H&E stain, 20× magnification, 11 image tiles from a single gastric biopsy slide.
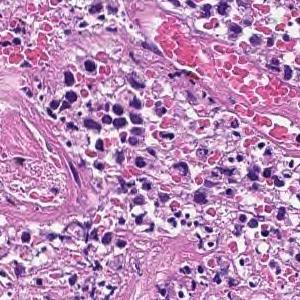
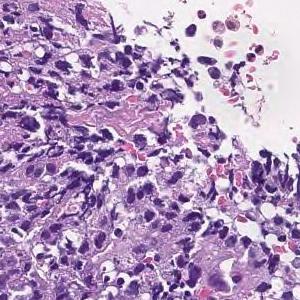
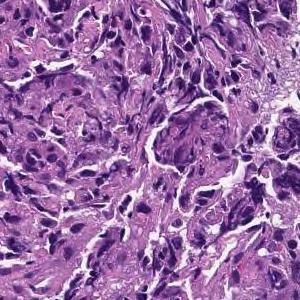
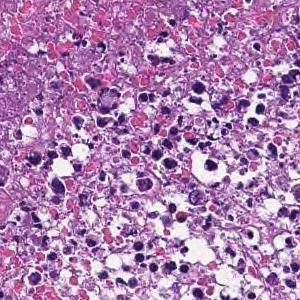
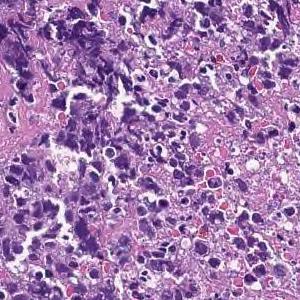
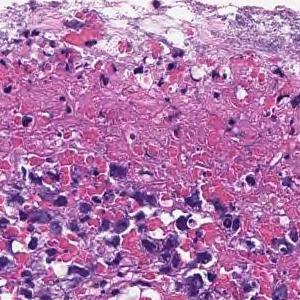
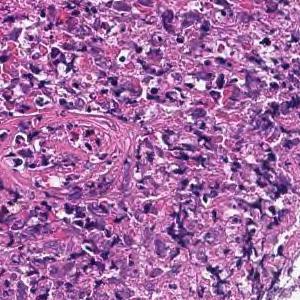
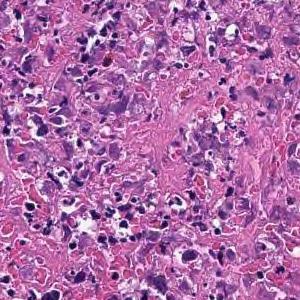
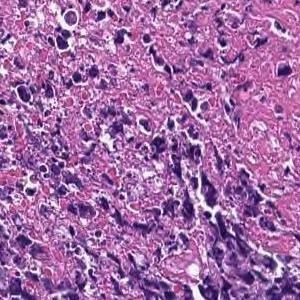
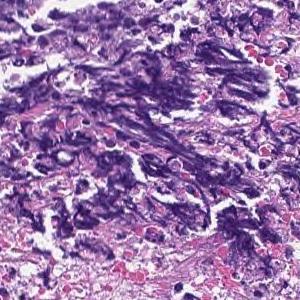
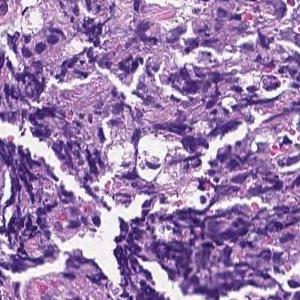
The pathologist's report on the biopsy slide these tiles were taken from. Both the report and the diagnosis are for the whole slide: these tiles need not show every feature named, and some of the tissue shown may not be tumor.
Most are composed of coagulative necrotic tissue, but some show a large sheet-like shape, and some show tumor tissue infiltrating with a small cord-like structure. Poorly differentiated adenocarcinoma, solid-type
Tumor subtype: poorly differentiated adenocarcinoma, solid type (Japanese Classification of Gastric Carcinoma). The WHO 2019 equivalent is tubular adenocarcinoma, poorly differentiated.
